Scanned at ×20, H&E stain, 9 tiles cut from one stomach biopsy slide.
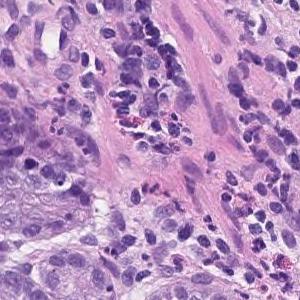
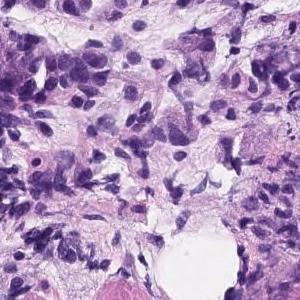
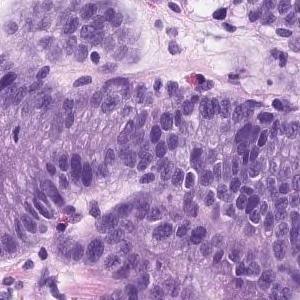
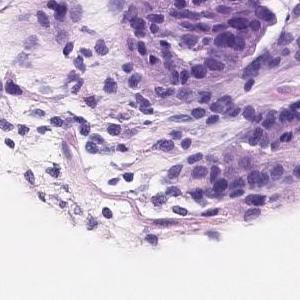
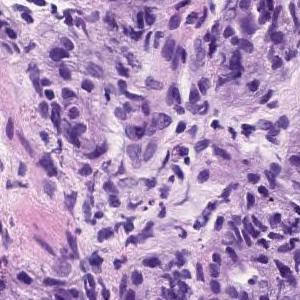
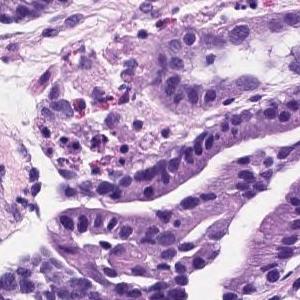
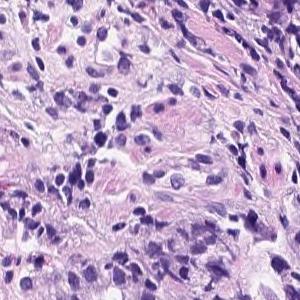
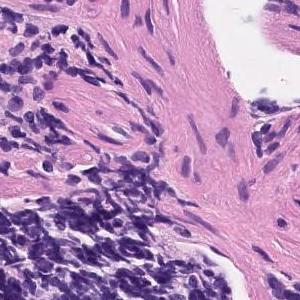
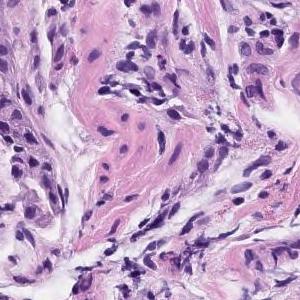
Pathology report for the slide these tiles were cut from. The report and the diagnosis describe the slide as a whole, so these tiles may not show every feature named and may include non-tumor tissue.
Tumor tissue consisting of medium-sized and irregular ducts is observed infiltrating in the superficial epithelium. Tumor cells are highly columnar, with nuclei aligned basolaterally and polarized. Well differentiated tubular adenocarcinoma.
